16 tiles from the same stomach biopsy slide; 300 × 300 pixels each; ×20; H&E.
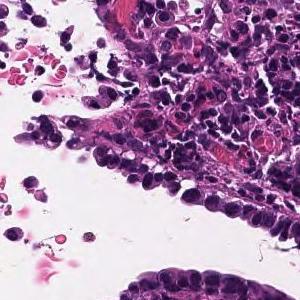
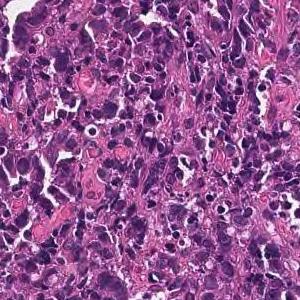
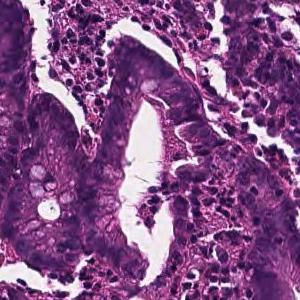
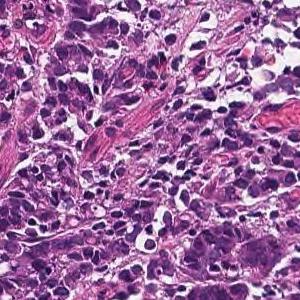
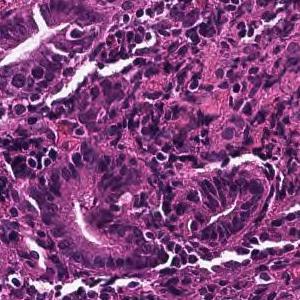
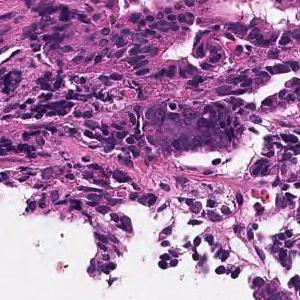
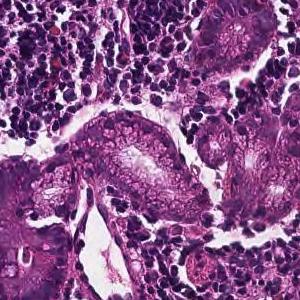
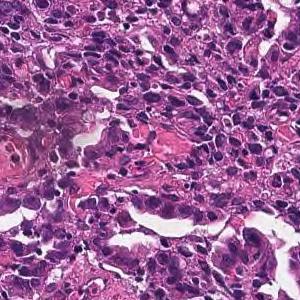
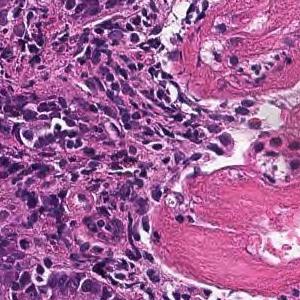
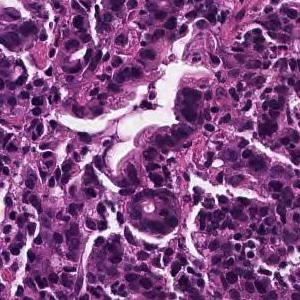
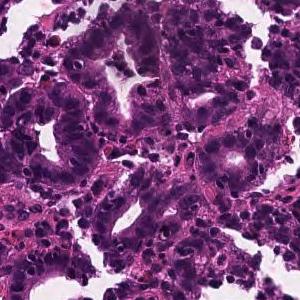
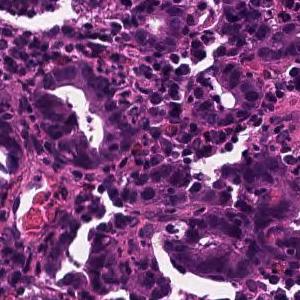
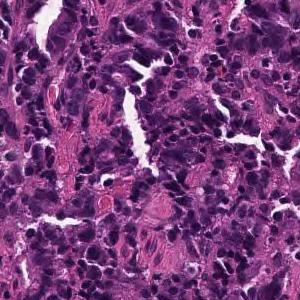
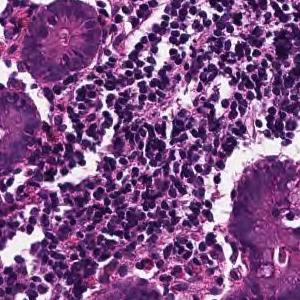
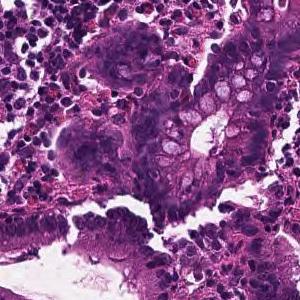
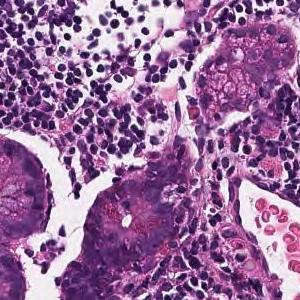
Pathology report for the slide these tiles were cut from. What the report and the diagnosis say applies to the whole slide; these tiles may miss some of the features named and may include tissue that is not tumor.
In the superficial epithelium, tumor tissue that invades by forming medium-sized to small, irregular ducts is observed. moderately differentiated tubular adenocarcinoma.
